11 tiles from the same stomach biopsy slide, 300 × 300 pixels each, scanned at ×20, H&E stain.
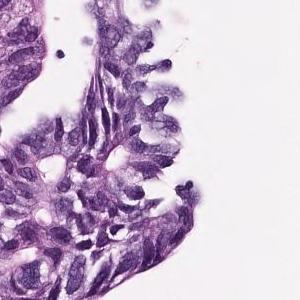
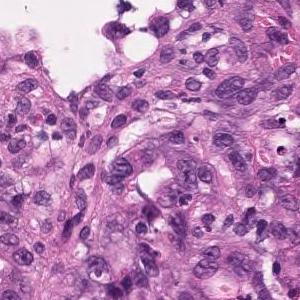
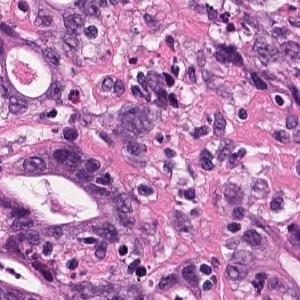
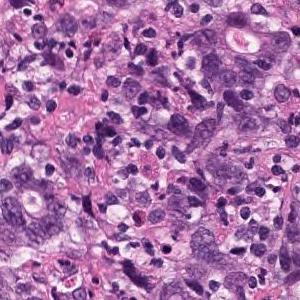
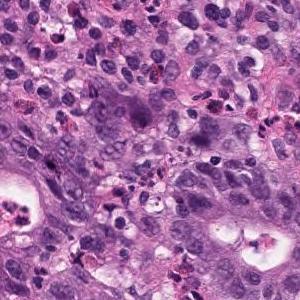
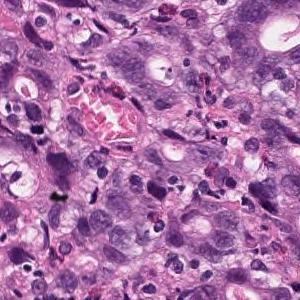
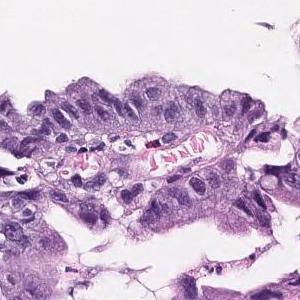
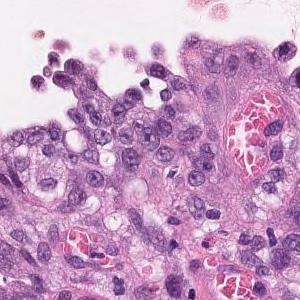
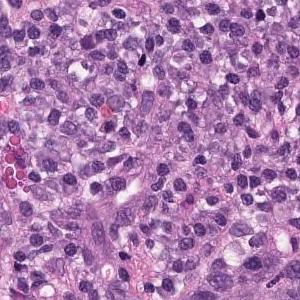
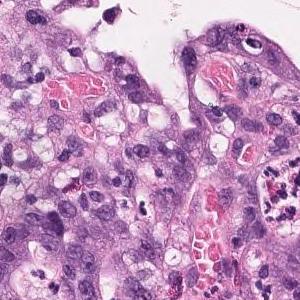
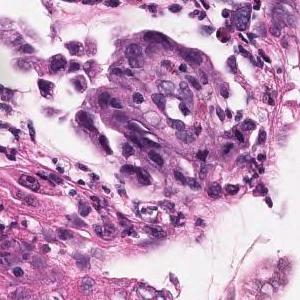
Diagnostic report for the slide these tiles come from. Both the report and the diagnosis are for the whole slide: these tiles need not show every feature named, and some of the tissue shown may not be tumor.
Atypical ducts proliferating with obscure duct construction and solid sequences is observed. Moderately to poorly differentiated adenocarcinoma.
